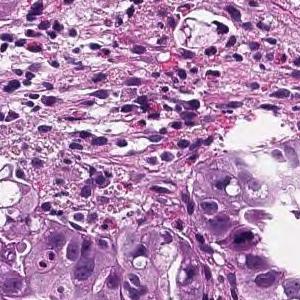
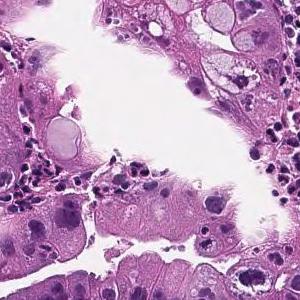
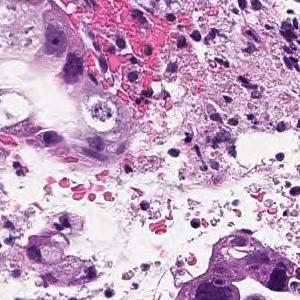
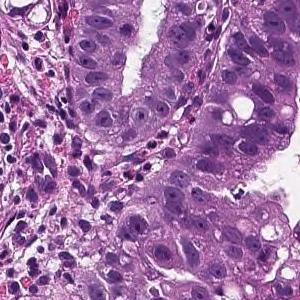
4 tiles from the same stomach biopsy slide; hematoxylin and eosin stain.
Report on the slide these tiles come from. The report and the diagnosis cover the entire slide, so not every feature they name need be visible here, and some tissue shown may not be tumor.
From the superficial epithelium to the muscularis mucosae, tumor tissue consisting of medium-sized and irregular glandular ducts infiltrating is observed. Well differentiated tubular adenocarcinoma
